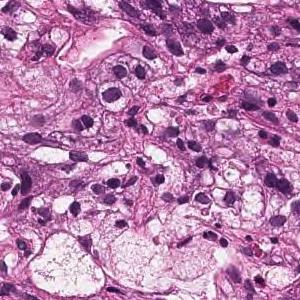
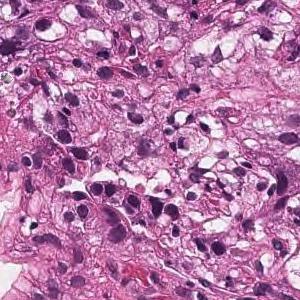
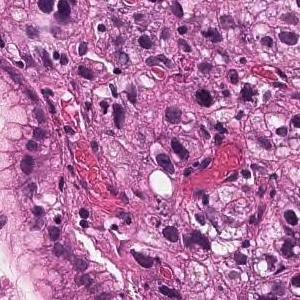
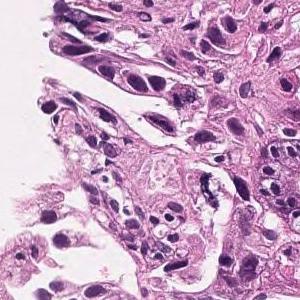
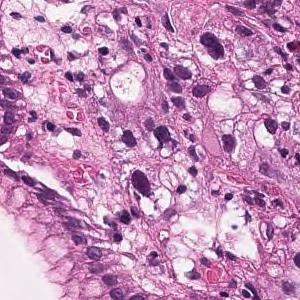
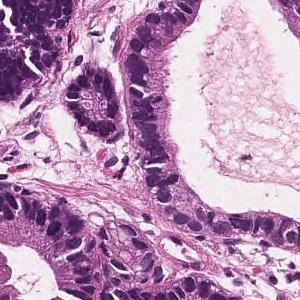
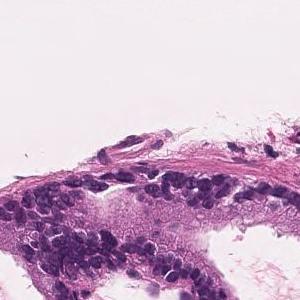
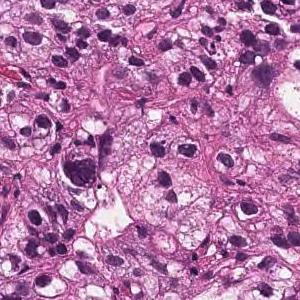
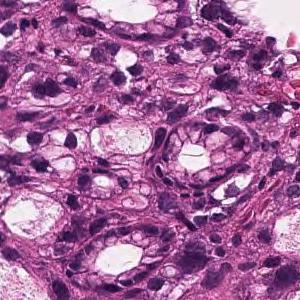
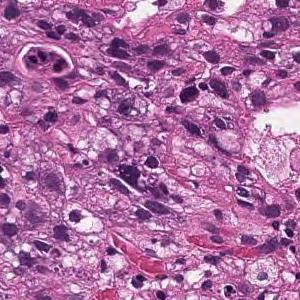
20× magnification · hematoxylin and eosin stain · 10 tiles cut from one stomach biopsy slide · each 300 × 300 pixels.
Pathology report for the biopsy slide these tiles were cut from. Both the report and the diagnosis are for the whole slide: these tiles need not show every feature named, and some of the tissue shown may not be tumor.
Medium to small, irregular glandular ducts are formed in the superficial epithelium, and in some cases, the glandular ducts are fused to show solid alveolar lesions and infiltrating tumor tissue is observed. Moderately to poorly differentiated adenocarcinoma.
